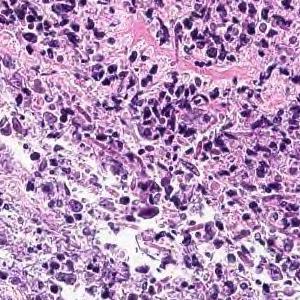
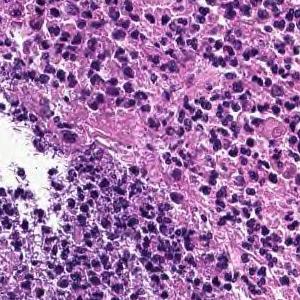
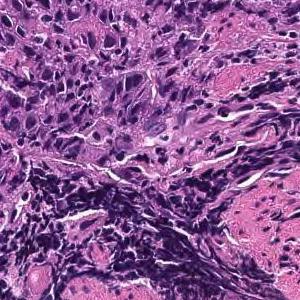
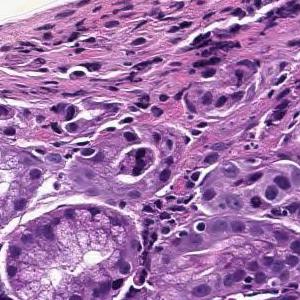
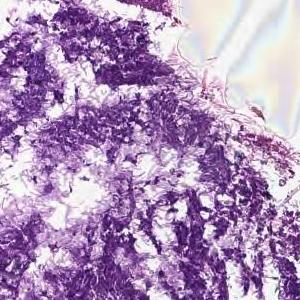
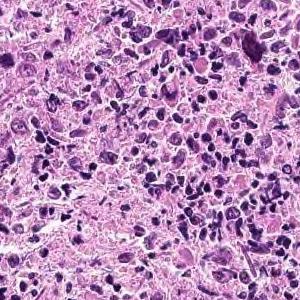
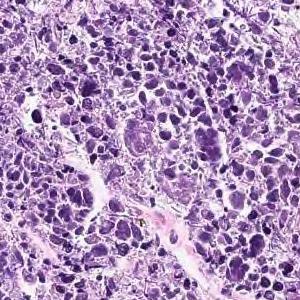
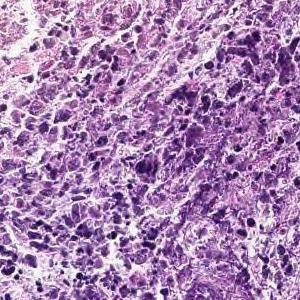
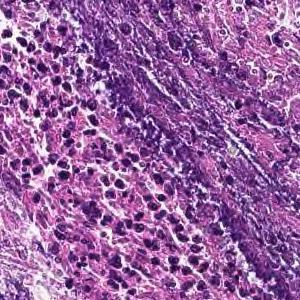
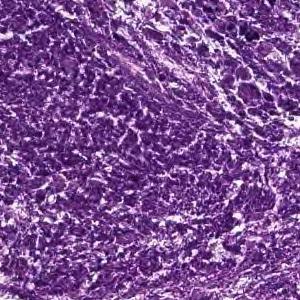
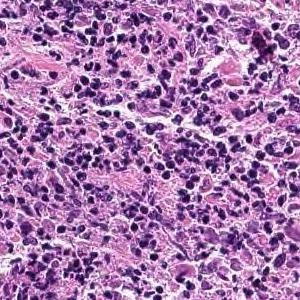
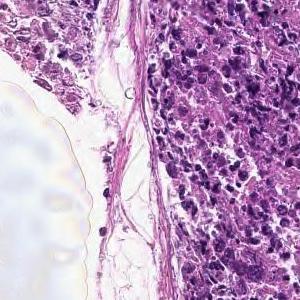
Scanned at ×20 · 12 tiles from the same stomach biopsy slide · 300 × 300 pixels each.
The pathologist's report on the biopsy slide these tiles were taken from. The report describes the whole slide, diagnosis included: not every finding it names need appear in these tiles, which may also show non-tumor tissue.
Cancers with polygonal nuclei do not show glandular formation and are densely, in part, cord-like and proliferate. Poorly differentiated adenocarcinoma
Histologic type: Poorly differentiated adenocarcinoma, non-solid type.
The non-solid type named here is a Japanese Classification of Gastric Carcinoma category.
